Scanned at ×20; 5 tiles cut from one stomach biopsy slide; 300×300 px each.
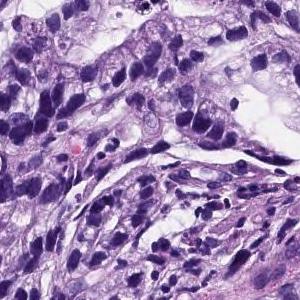
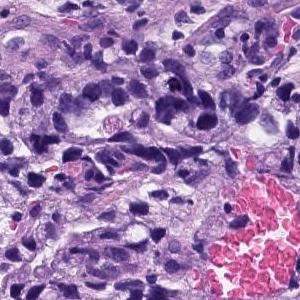
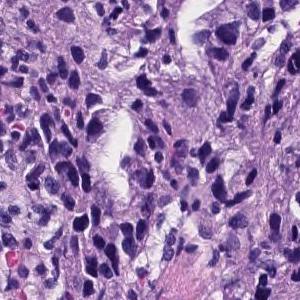
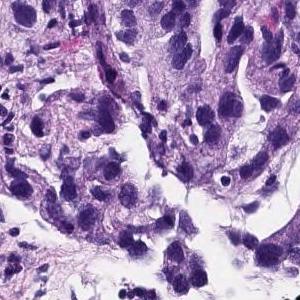
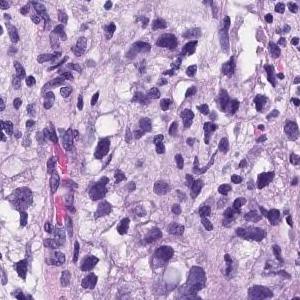
Diagnostic report for the slide these tiles come from. Both the report and the diagnosis are for the whole slide: these tiles need not show every feature named, and some of the tissue shown may not be tumor.
Medium to small, irregular glandular ducts are formed in the superficial epithelium, and in some cases, the glandular ducts are fused to show solid alveolar lesions and infiltrating tumor tissue is observed. Poorly differentiated adenocarcinoma, Moderately differentiated adenocarcinoma.
Labeled in the dataset as moderately differentiated tubular adenocarcinoma.
